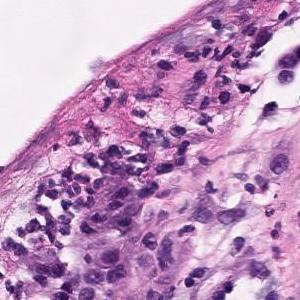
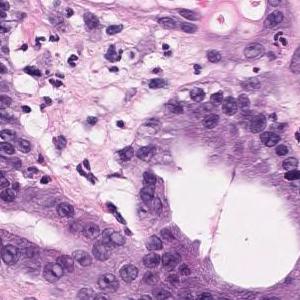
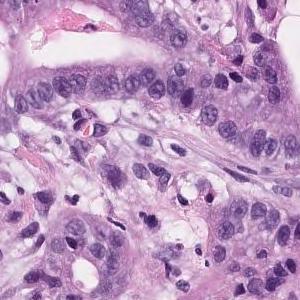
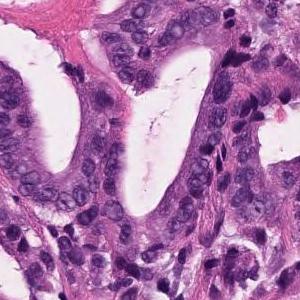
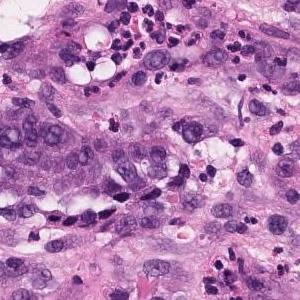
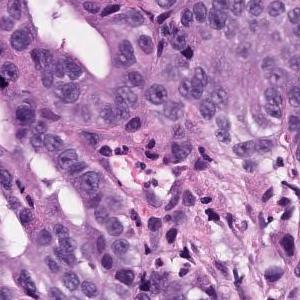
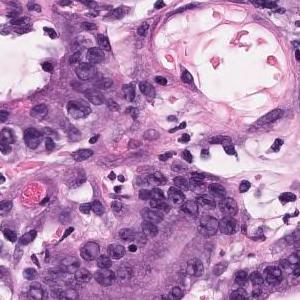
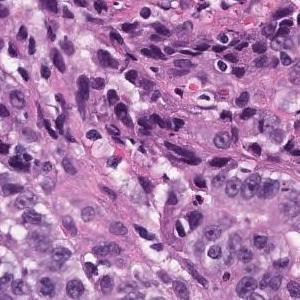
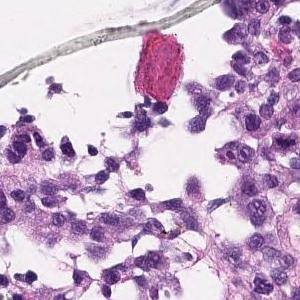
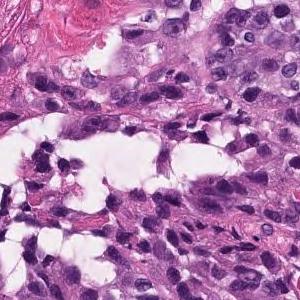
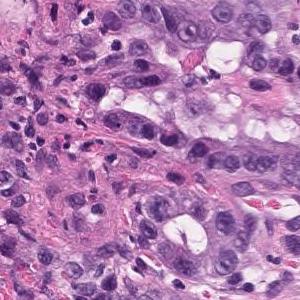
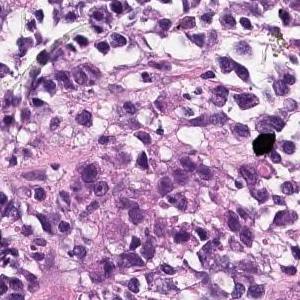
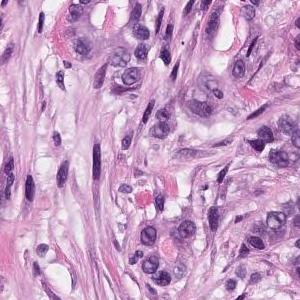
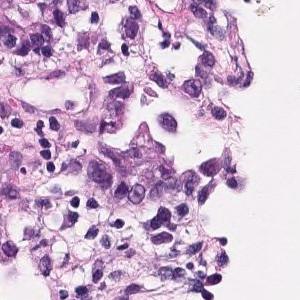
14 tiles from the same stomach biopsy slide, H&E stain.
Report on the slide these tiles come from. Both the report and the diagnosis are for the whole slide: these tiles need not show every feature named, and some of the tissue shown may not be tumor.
In the superficial epithelium, tumor tissue that invades by forming medium-sized to small, irregular ducts is observed. Moderately differentiated adenocarcinoma.
Tumor subtype: moderately differentiated tubular adenocarcinoma.
